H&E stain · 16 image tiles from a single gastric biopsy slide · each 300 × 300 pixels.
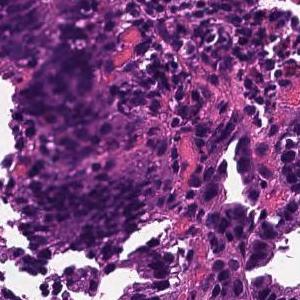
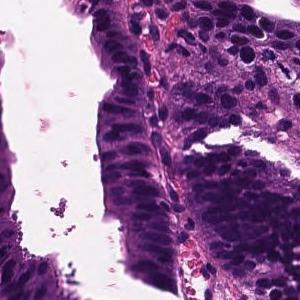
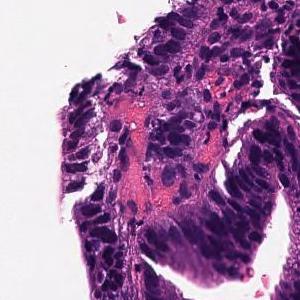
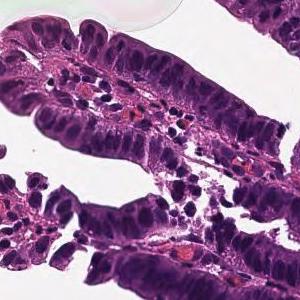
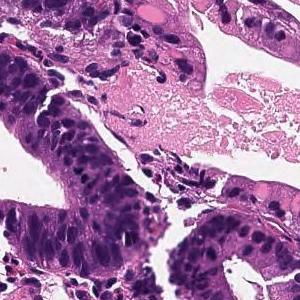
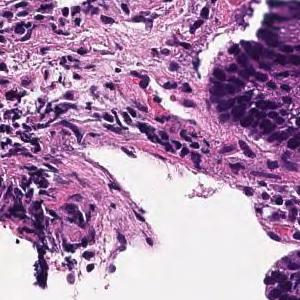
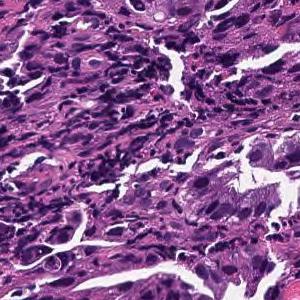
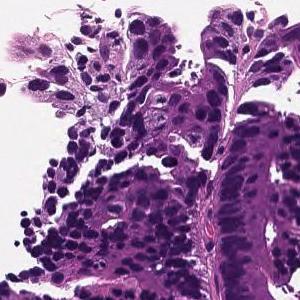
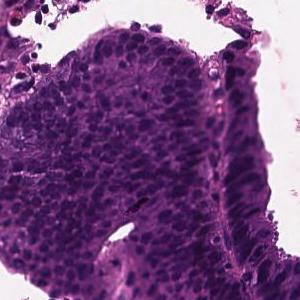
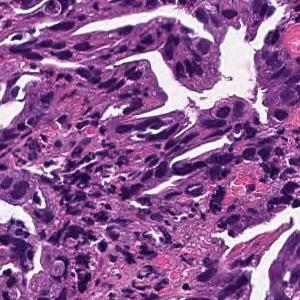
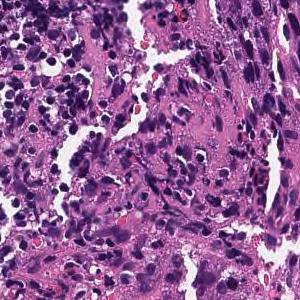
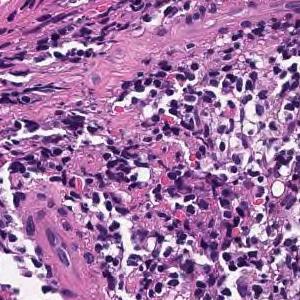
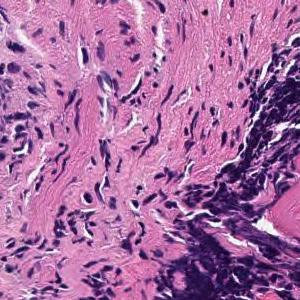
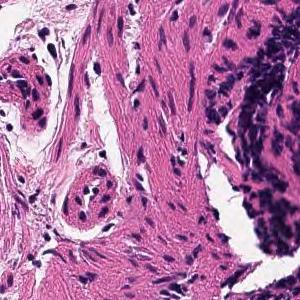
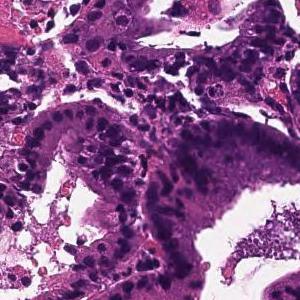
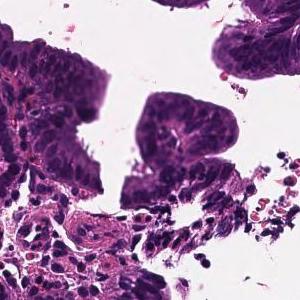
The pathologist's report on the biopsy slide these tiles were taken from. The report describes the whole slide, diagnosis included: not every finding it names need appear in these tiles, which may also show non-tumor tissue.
Tumor cells are large, highly columnar, large club-shaped nuclei, and are associated with chromatin aggregation. Papillary adenocarcinoma.
